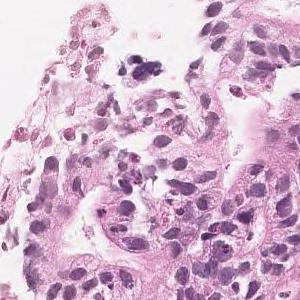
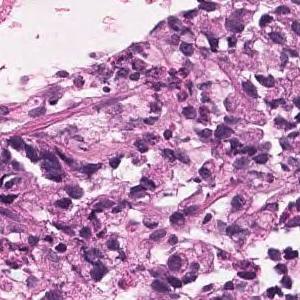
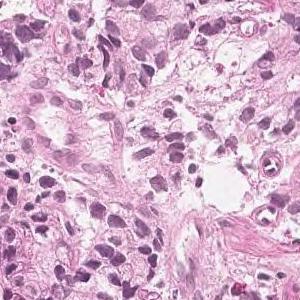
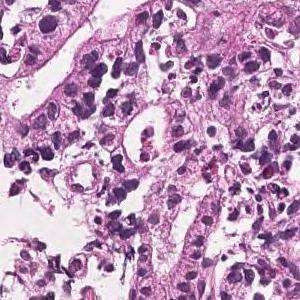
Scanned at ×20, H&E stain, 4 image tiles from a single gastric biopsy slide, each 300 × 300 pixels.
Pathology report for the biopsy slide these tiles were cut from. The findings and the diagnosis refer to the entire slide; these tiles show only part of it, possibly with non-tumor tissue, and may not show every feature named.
In the superficial epithelium, medium to small irregular gland ducts are formed, and in some cases, the ducts are fused to show solid alveolar lesions and infiltrating tumor tissue is observed. Moderately to poorly differentiated adenocarcinoma
